9 tiles cut from one stomach biopsy slide · ×20 · H&E.
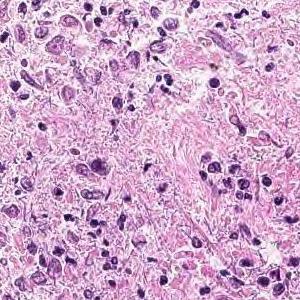
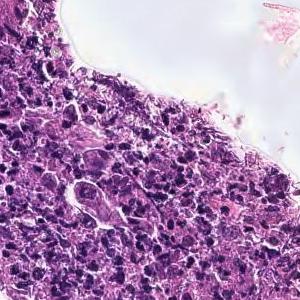
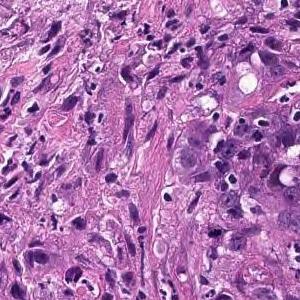
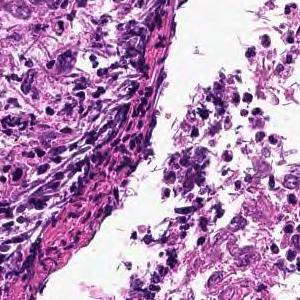
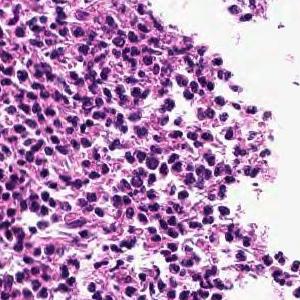
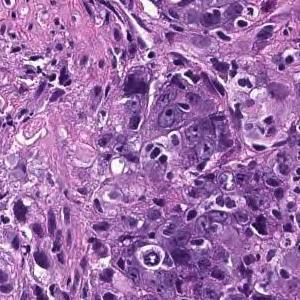
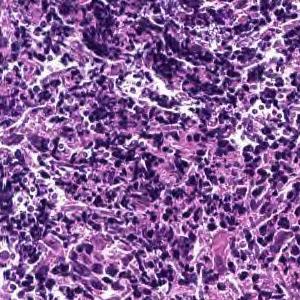
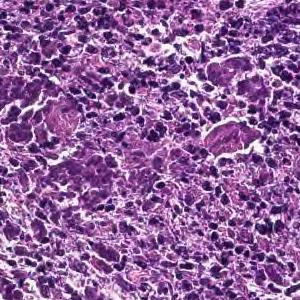
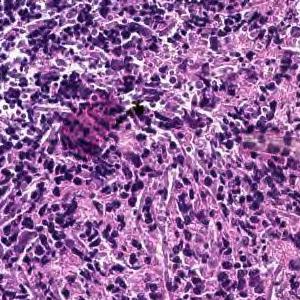
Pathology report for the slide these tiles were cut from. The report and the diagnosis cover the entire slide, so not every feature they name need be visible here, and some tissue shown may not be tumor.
Cancers with polygonal nuclei do not show glandular formation and are densely, in part, cord-like and proliferate. Poorly differentiated adenocarcinoma
Subtype: Poorly differentiated adenocarcinoma, non-solid type.
The non-solid type named here is a Japanese Classification of Gastric Carcinoma category.
